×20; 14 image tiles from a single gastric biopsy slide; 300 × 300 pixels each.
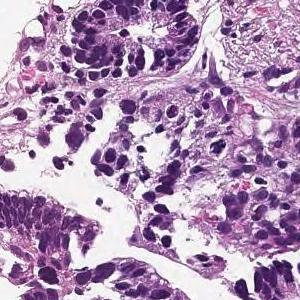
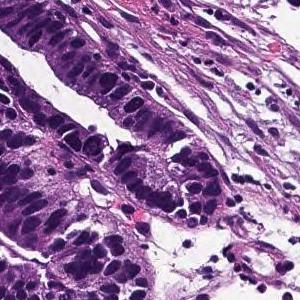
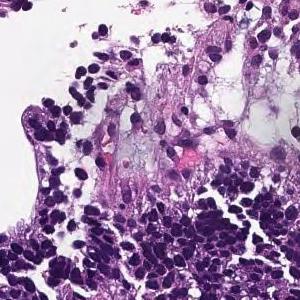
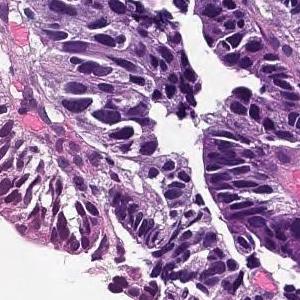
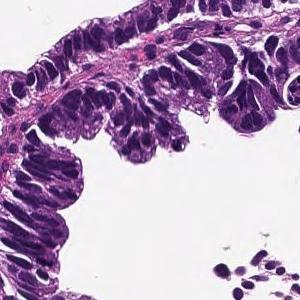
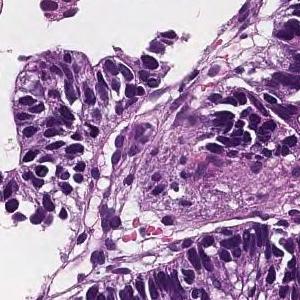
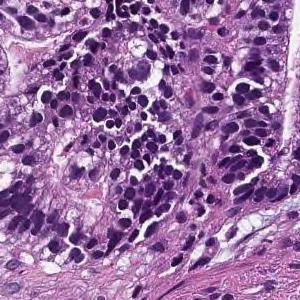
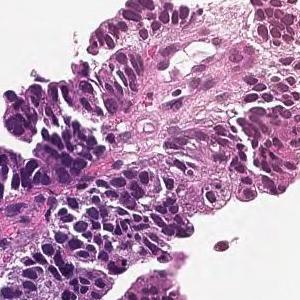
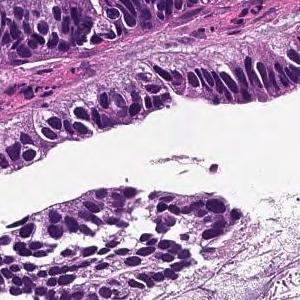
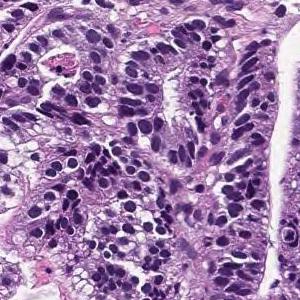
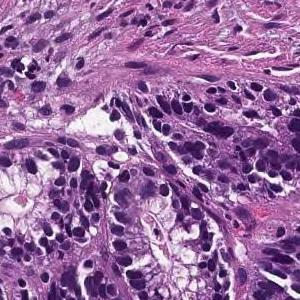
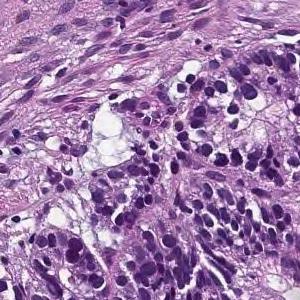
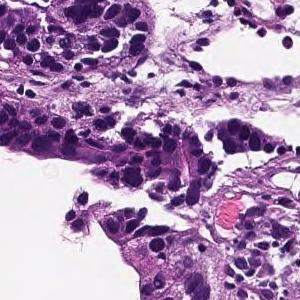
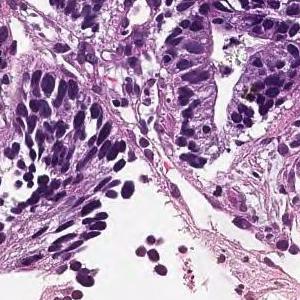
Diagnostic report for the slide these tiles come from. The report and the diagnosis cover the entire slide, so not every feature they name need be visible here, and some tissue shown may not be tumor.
Tumor cells are large, highly columnar, large club-shaped nuclei, and are associated with chromatin aggregation. Papillary adenocarcinoma.
